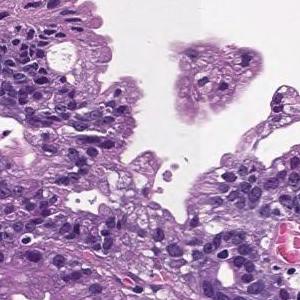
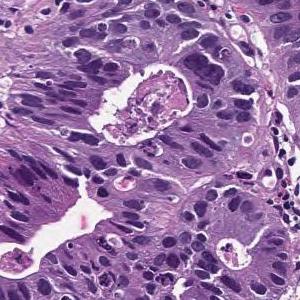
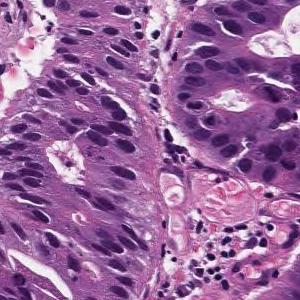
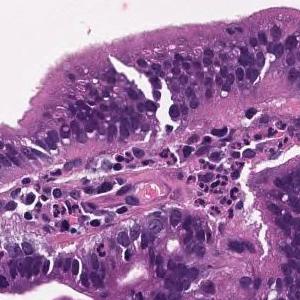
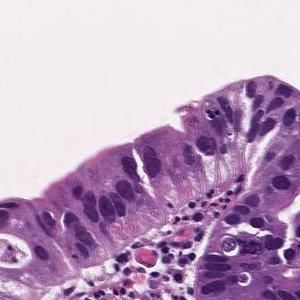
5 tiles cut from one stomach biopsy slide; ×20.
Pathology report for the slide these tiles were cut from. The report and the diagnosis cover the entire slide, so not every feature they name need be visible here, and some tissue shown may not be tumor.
Tumor cells are large, highly columnar, large club-shaped nuclei, and are associated with chromatin aggregation. Papillary adenocarcinoma.
